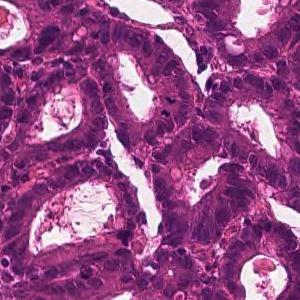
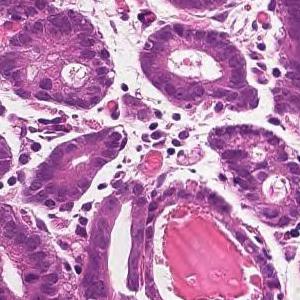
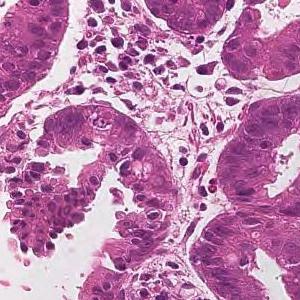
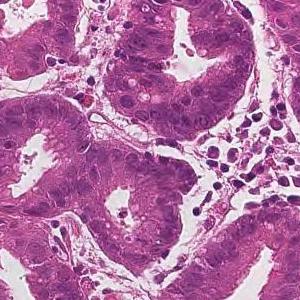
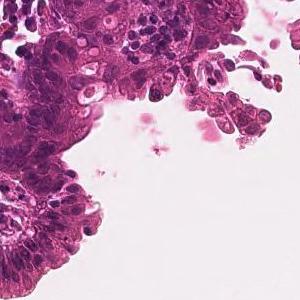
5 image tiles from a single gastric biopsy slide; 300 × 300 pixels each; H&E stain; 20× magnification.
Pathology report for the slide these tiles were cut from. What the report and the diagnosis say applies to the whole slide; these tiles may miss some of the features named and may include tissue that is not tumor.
From the superficial epithelium to the muscularis mucosae, tumor tissue consisting of medium-sized and irregular glandular ducts infiltrating is observed. Well differentiated tubular adenocarcinoma
